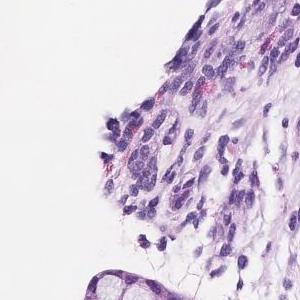
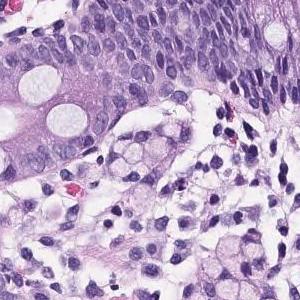
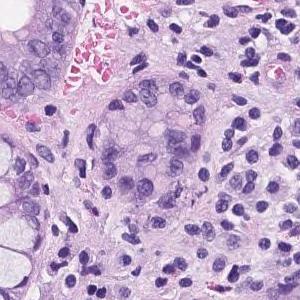
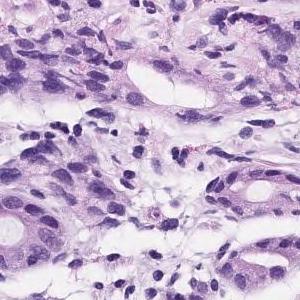
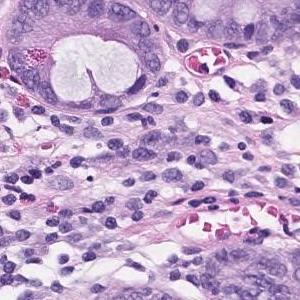
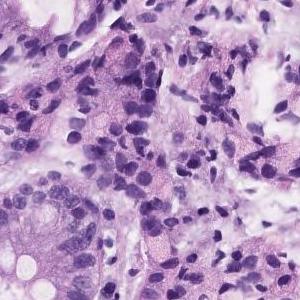
Hematoxylin and eosin stain, 20× magnification, 6 tiles cut from one stomach biopsy slide, 300 × 300 pixels each.
Diagnostic report for the slide these tiles come from. The report and the diagnosis describe the slide as a whole, so these tiles may not show every feature named and may include non-tumor tissue.
Atypical l cells with atypical nuclei forming diffuse or small irregular atypical ducts and growing. Moderately to poorly differentiated adenocarcinoma (poorly differentiated adenocarcinoma, solid type moderately differentiated tubular adenocarcinoma)
Histological subtype: Moderately to poorly differentiated adenocarcinoma.
The solid type named here is a Japanese Classification of Gastric Carcinoma category; WHO 2019 calls it tubular adenocarcinoma, poorly differentiated.
